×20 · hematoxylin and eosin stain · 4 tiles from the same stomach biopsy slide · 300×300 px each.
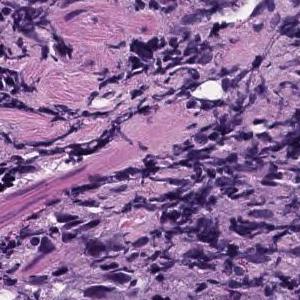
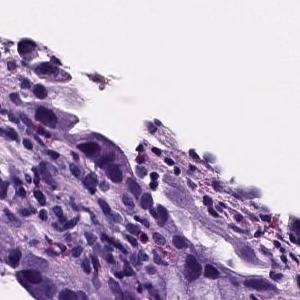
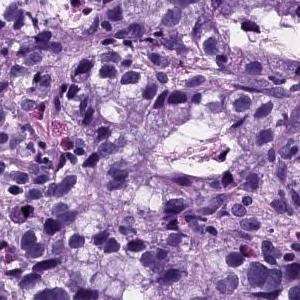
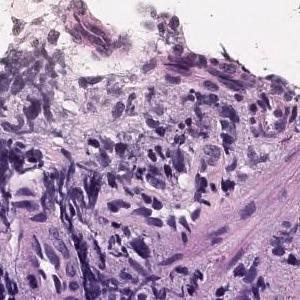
Diagnostic report for the slide these tiles come from. Both the report and the diagnosis are for the whole slide: these tiles need not show every feature named, and some of the tissue shown may not be tumor.
Atypical epithelial cells infiltrating and proliferating while forming solid or cord-like fused glandular cavities of different sizes is observed. moderately differentiated tubular adenocarcinoma, poorly differentiated adenocarcinoma.
Subtype: Moderately to poorly differentiated adenocarcinoma.
